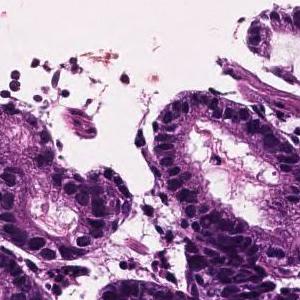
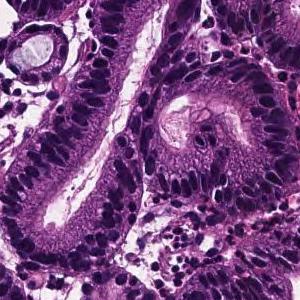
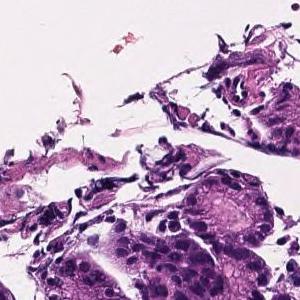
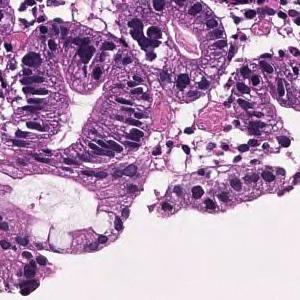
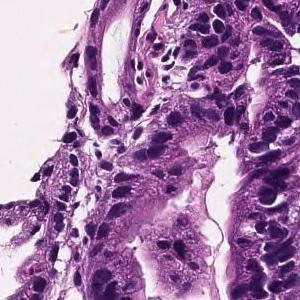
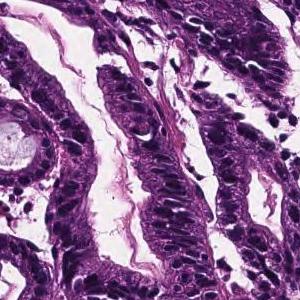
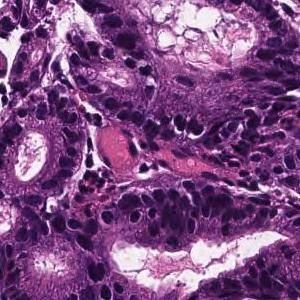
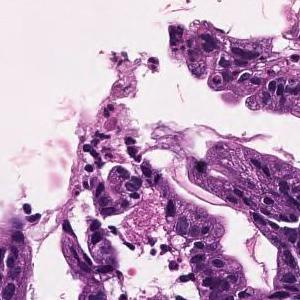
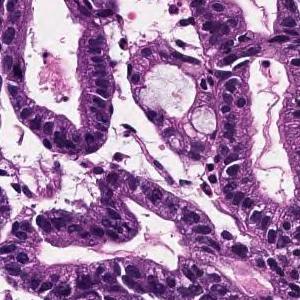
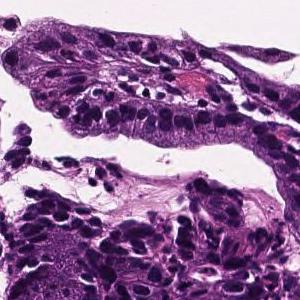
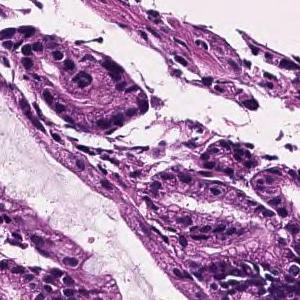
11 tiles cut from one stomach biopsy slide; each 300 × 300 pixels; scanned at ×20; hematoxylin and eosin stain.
Report on the slide these tiles come from. The report and the diagnosis cover the entire slide, so not every feature they name need be visible here, and some tissue shown may not be tumor.
On the superficial epithelium, tumor tissue that infiltrates by forming medium-sized papillary or small irregular ducts is observed. Papillary adenocarcinoma
